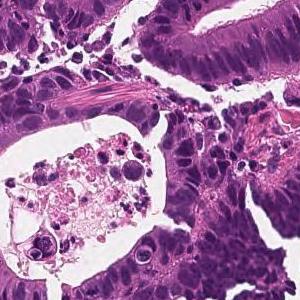
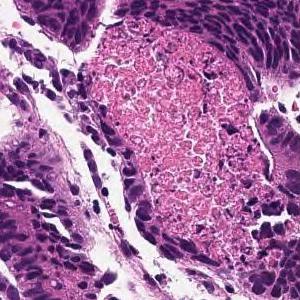
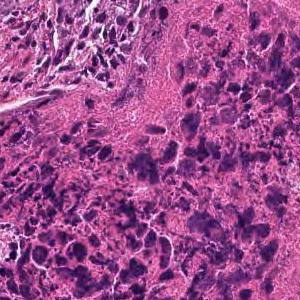
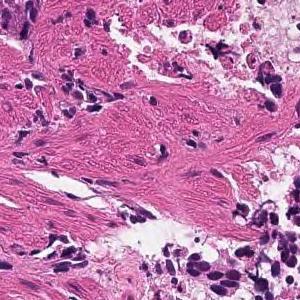
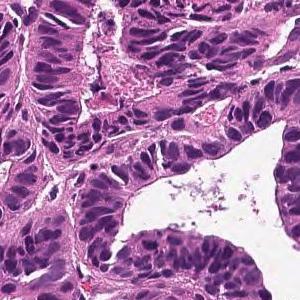
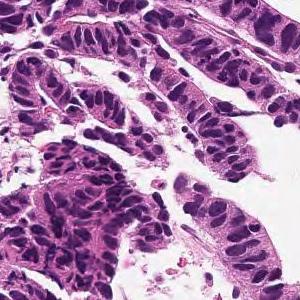
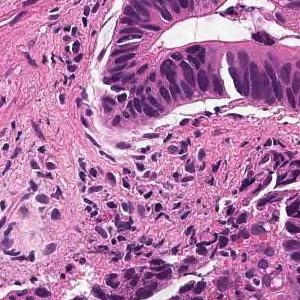
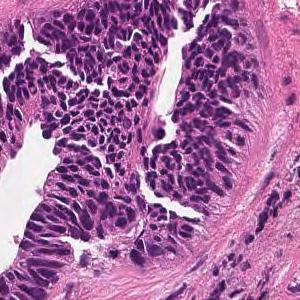
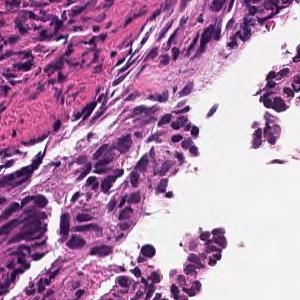
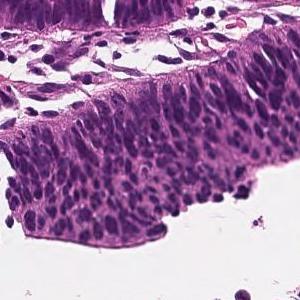
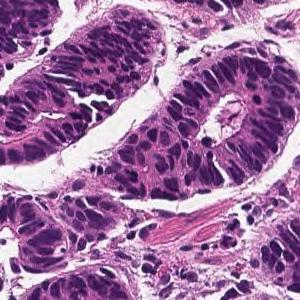
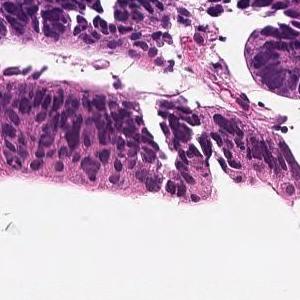
Scanned at ×20 · H&E · 12 tiles cut from one stomach biopsy slide · each 300 × 300 pixels.
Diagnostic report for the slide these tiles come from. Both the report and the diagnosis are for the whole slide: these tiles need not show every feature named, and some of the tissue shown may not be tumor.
From the superficial epithelium to the muscularis mucosae, tumor tissue consisting of medium-sized and irregular glandular ducts infiltrating is observed. Well differentiated tubular adenocarcinoma
